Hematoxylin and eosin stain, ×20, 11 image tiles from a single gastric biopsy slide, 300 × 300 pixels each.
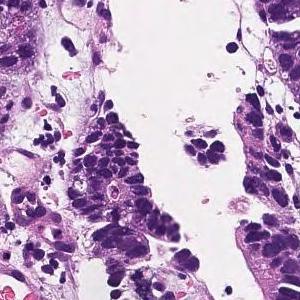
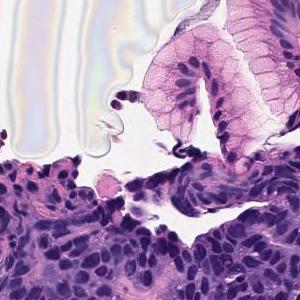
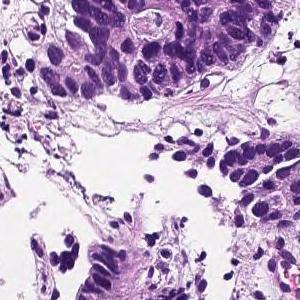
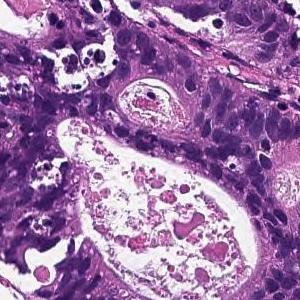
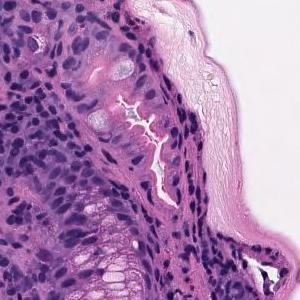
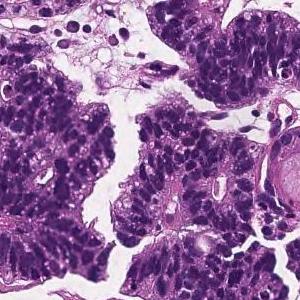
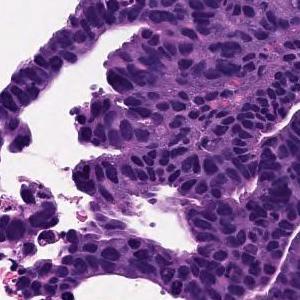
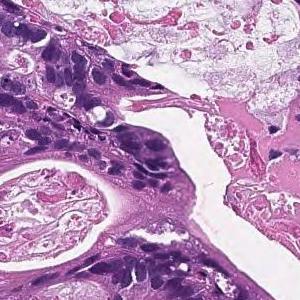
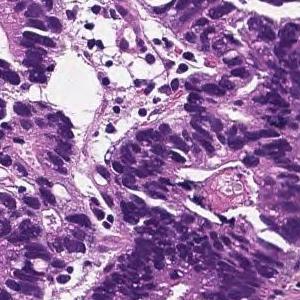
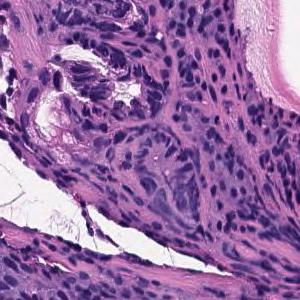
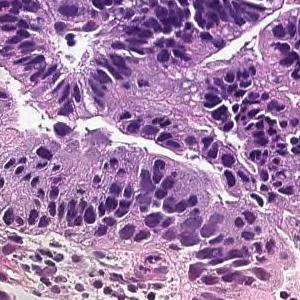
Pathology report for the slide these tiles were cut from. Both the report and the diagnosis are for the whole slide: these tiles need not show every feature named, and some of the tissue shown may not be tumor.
In the superficial epithelium, tumor tissue that invades by forming medium-sized to small, irregular ducts is observed. moderately differentiated tubular adenocarcinoma.
